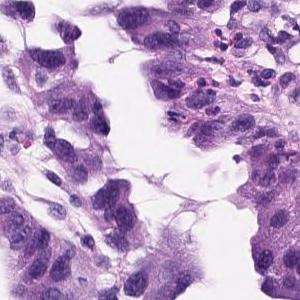
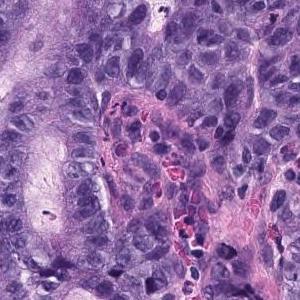
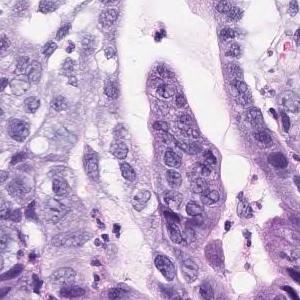
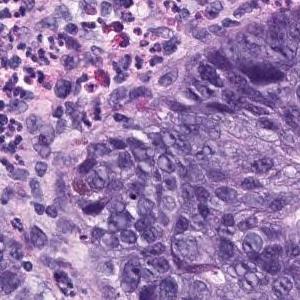
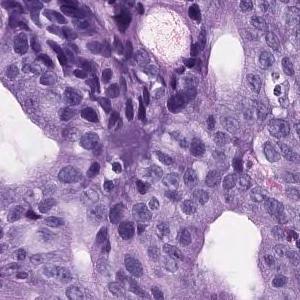
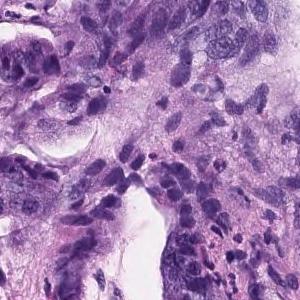
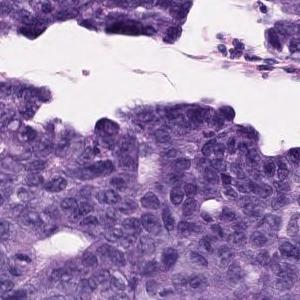
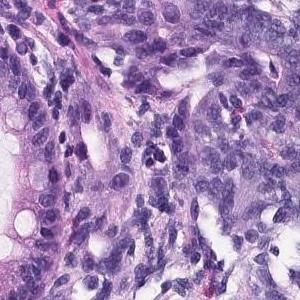
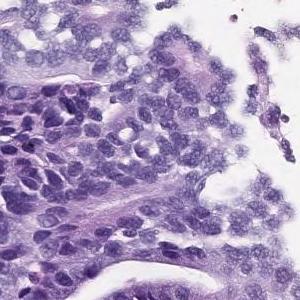
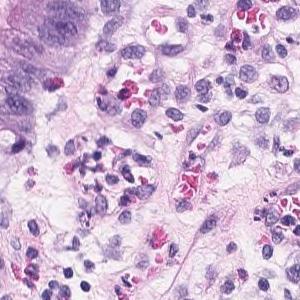
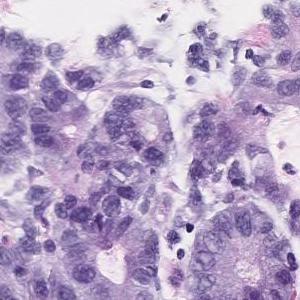
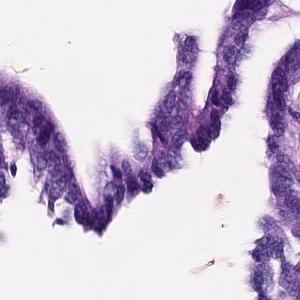
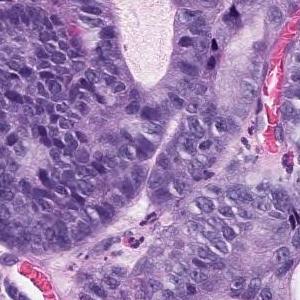
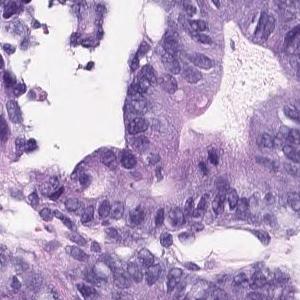
Scanned at ×20 · hematoxylin and eosin stain · 14 patches cut from one gastric biopsy slide · each 300 × 300 pixels.
Report on the slide these tiles come from. The report and the diagnosis cover the entire slide, so not every feature they name need be visible here, and some tissue shown may not be tumor.
In the superficial epithelium, tumor tissue that invades by forming medium-sized to small, irregular ducts is observed. Well to moderately differentiated tubular adenocarcinoma.
